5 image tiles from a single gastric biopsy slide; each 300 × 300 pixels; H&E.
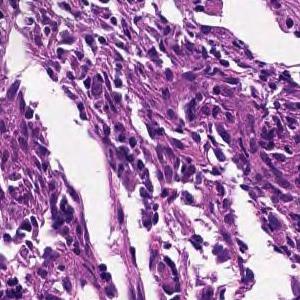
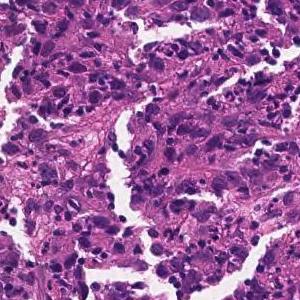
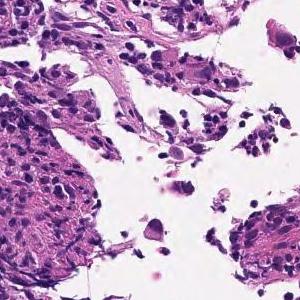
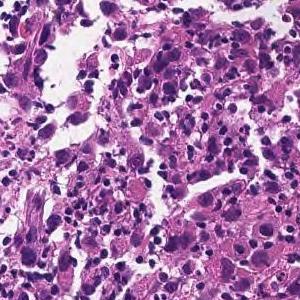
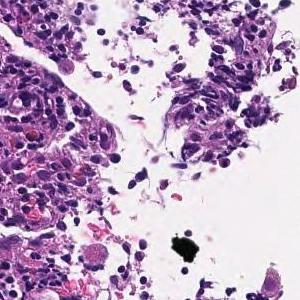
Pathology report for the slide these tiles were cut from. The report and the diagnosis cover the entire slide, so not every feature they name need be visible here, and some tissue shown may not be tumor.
The superficial epithelium shows a large sheet-like shape, and some tumor tissue infiltrates with small irregular ducts. Poorly differentiated adenocarcinoma, solid-type (poorly differentiated adenocarcinoma, solid type)
Classified as poorly differentiated adenocarcinoma, solid type. This name comes from the Japanese Classification of Gastric Carcinoma; the WHO 2019 classification calls it tubular adenocarcinoma, poorly differentiated.
